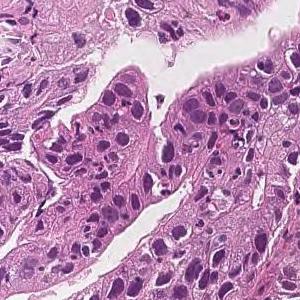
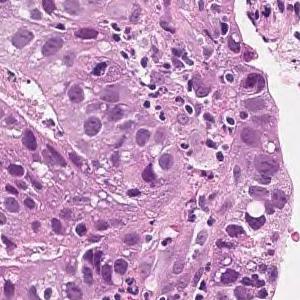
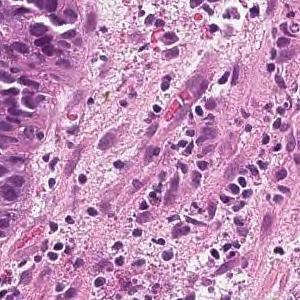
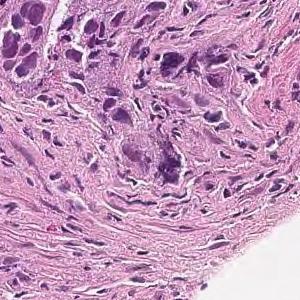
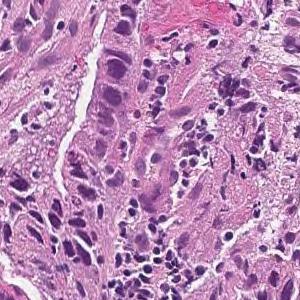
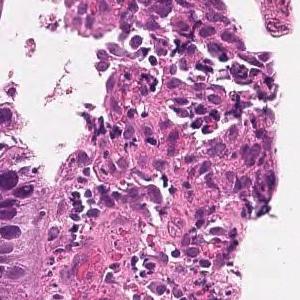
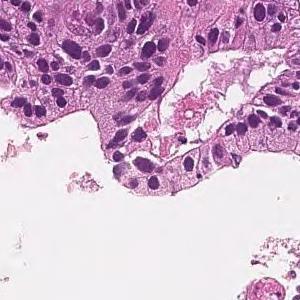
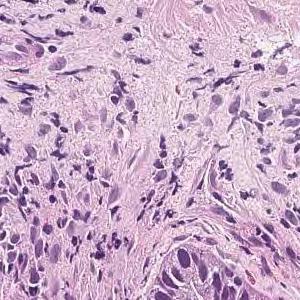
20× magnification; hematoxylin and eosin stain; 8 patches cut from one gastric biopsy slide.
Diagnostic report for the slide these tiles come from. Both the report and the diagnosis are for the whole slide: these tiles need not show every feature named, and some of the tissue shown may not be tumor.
In the superficial epithelium, tumor tissue that invades by forming medium-sized to small, irregular ducts is observed. moderately differentiated tubular adenocarcinoma.
